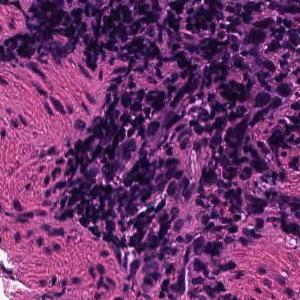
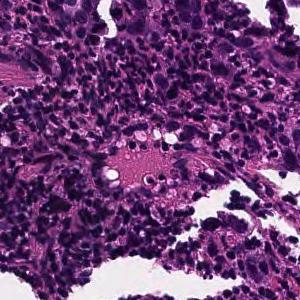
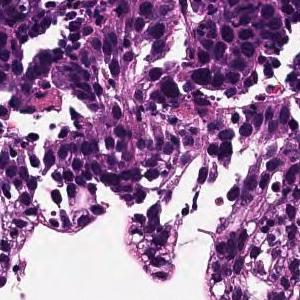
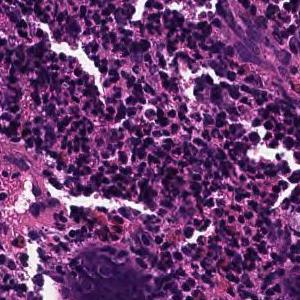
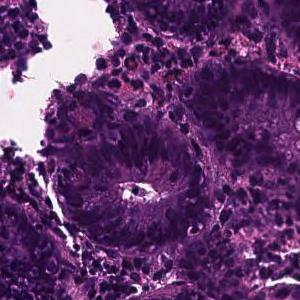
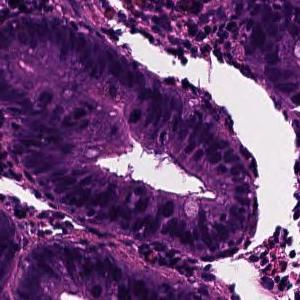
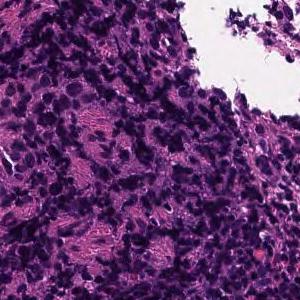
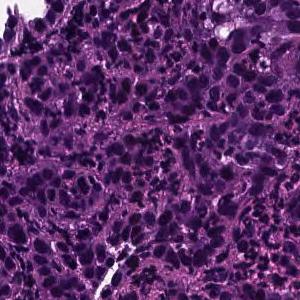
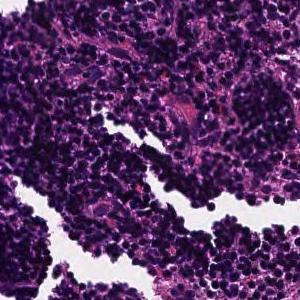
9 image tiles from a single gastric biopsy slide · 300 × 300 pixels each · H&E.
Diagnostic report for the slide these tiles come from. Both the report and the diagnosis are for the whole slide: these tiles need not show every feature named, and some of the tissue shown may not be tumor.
Tumor tissue consisting of cord-like or small, irregular glandular ducts fused and infiltrated is observed in the superficial epithelium. Poorly differentiated adenocarcinoma, non-solid type
The term "non-solid type" comes from the Japanese Classification of Gastric Carcinoma.
